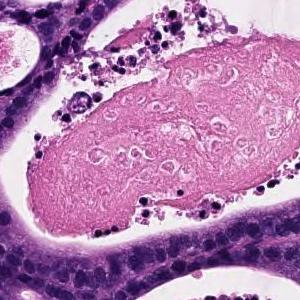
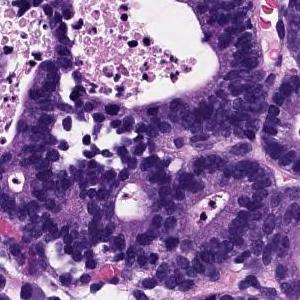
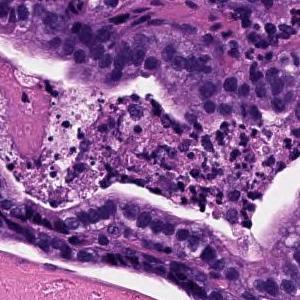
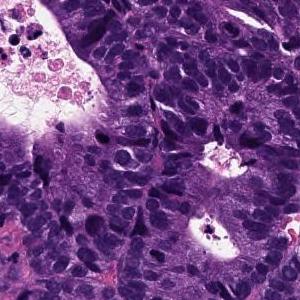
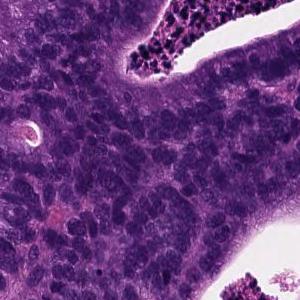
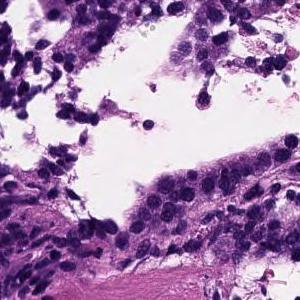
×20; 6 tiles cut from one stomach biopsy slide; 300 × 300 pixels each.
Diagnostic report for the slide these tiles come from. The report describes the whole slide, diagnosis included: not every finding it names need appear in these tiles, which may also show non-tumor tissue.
From the superficial epithelium to the muscularis mucosae, tumor tissue consisting of medium-sized and irregular glandular ducts infiltrating is observed. Well differentiated tubular adenocarcinoma
